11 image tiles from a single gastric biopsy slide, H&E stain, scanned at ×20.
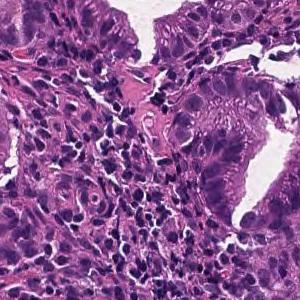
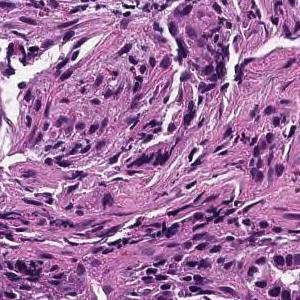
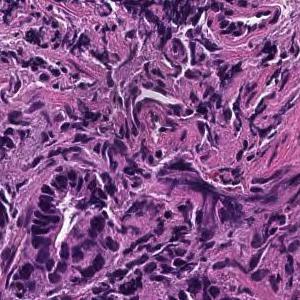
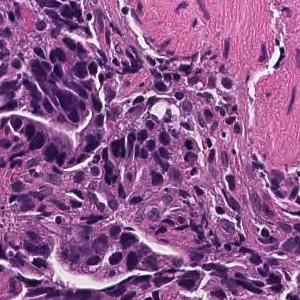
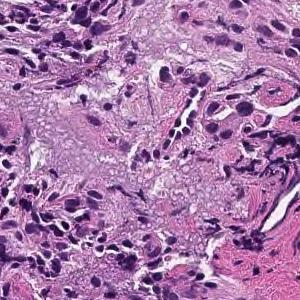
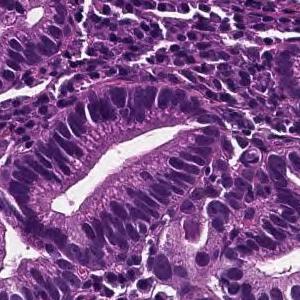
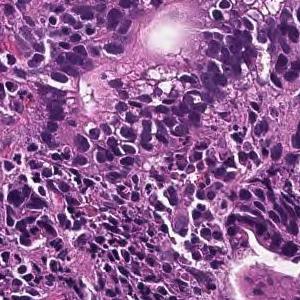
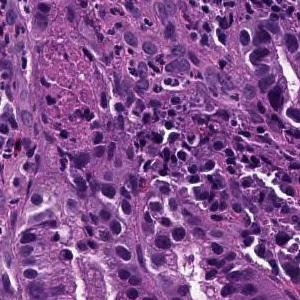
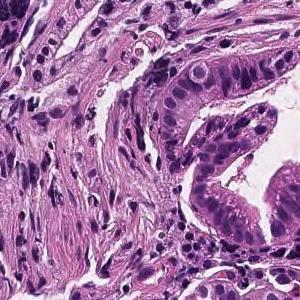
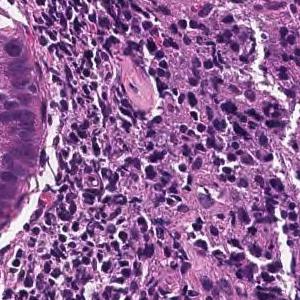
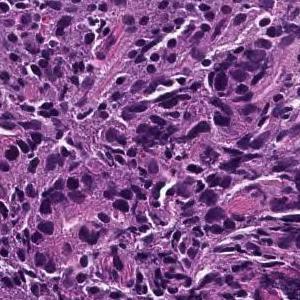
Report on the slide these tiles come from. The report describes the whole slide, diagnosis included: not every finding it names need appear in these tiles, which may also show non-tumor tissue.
On the superficial epithelium, tumor tissue consisting of large irregular glandular ducts partially fused and infiltrated is observed. Well to moderately differentiated tubular adenocarcinoma (well differentiated tubular adenocarcinoma, moderately differentiated tubular adenocarcinoma)
Tumor subtype: well to moderately differentiated tubular adenocarcinoma.
